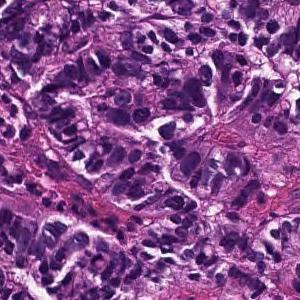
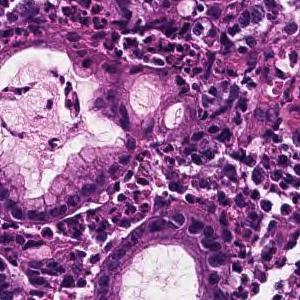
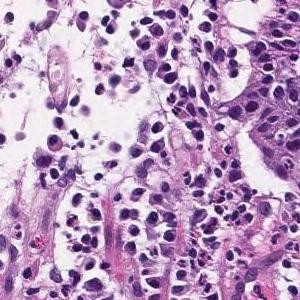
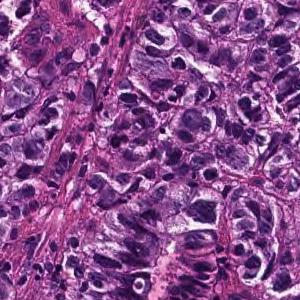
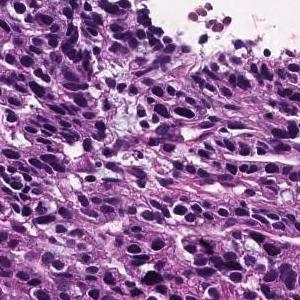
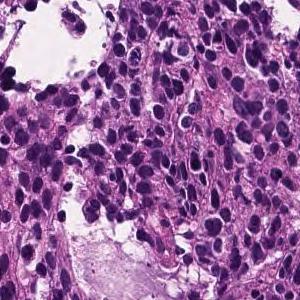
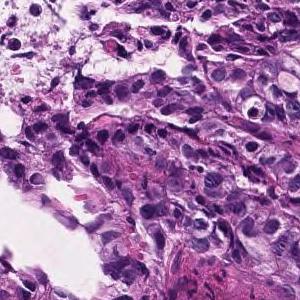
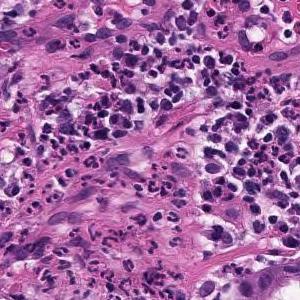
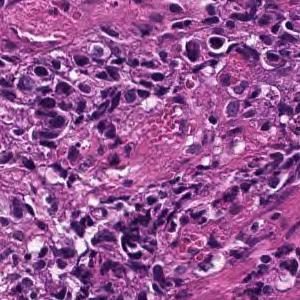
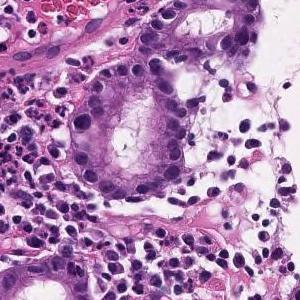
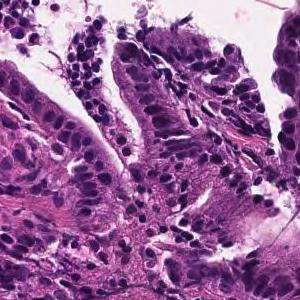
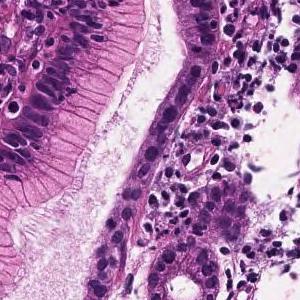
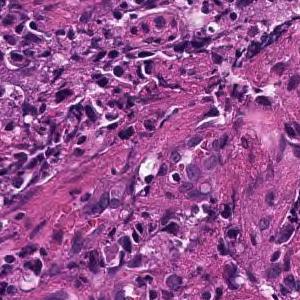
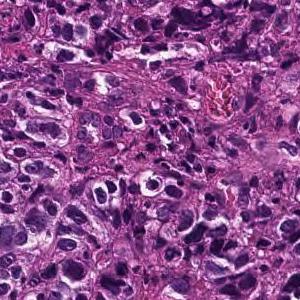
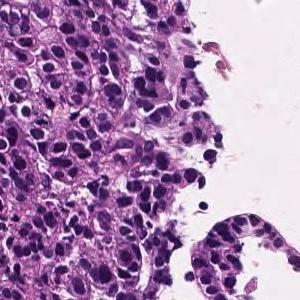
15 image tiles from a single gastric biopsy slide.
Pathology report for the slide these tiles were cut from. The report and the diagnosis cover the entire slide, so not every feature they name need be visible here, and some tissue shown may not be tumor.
In the superficial epithelium, tumor tissue that invades by forming medium-sized to small, irregular ducts is observed. moderately differentiated tubular adenocarcinoma.
